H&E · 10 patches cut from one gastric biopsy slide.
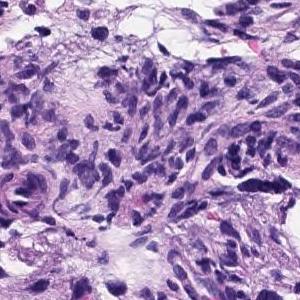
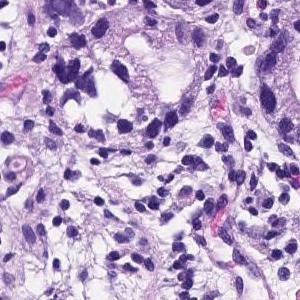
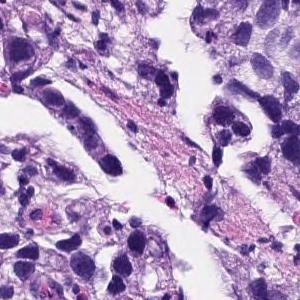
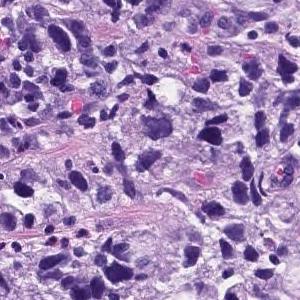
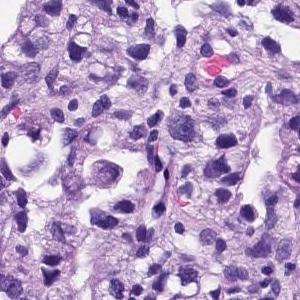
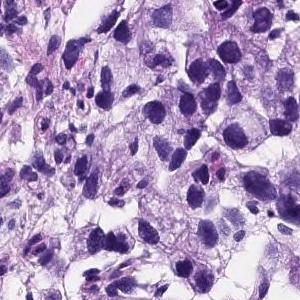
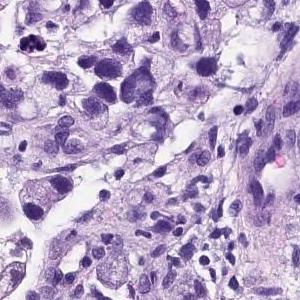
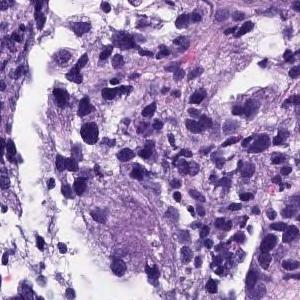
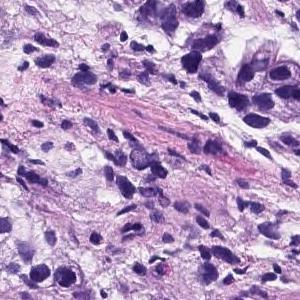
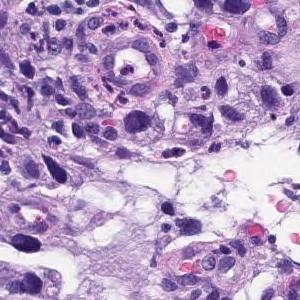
The pathologist's report on the biopsy slide these tiles were taken from. Both the report and the diagnosis are for the whole slide: these tiles need not show every feature named, and some of the tissue shown may not be tumor.
Medium to small, irregular glandular ducts are formed in the superficial epithelium, and in some cases, the glandular ducts are fused to show solid alveolar lesions and infiltrating tumor tissue is observed. Poorly differentiated adenocarcinoma, Moderately differentiated adenocarcinoma.
Dataset label: moderately differentiated tubular adenocarcinoma.
